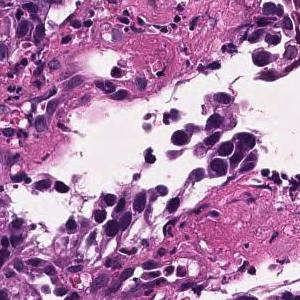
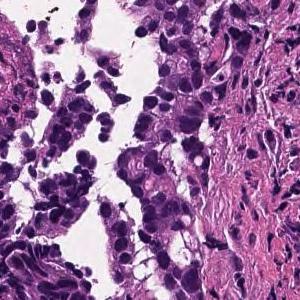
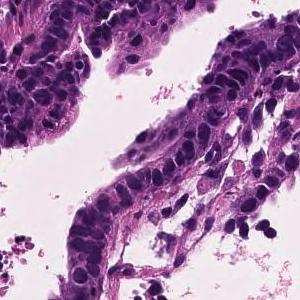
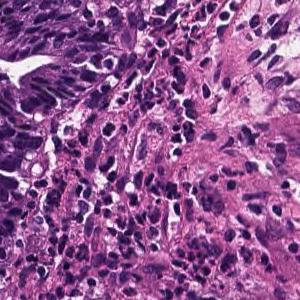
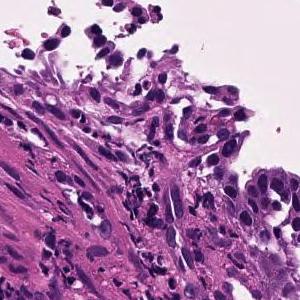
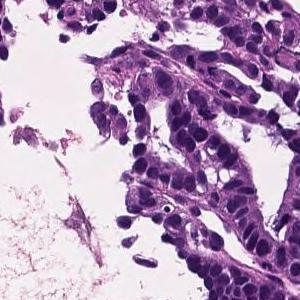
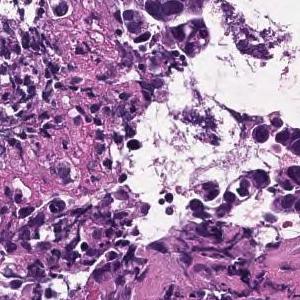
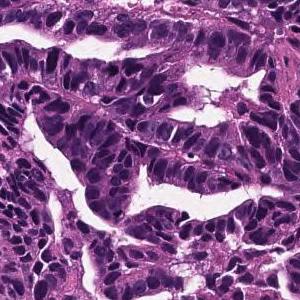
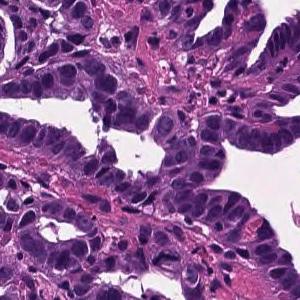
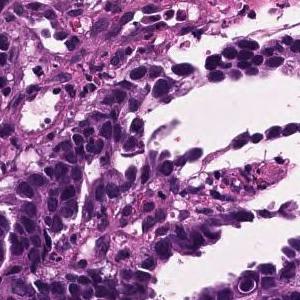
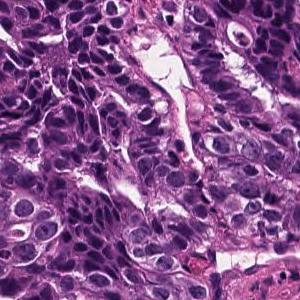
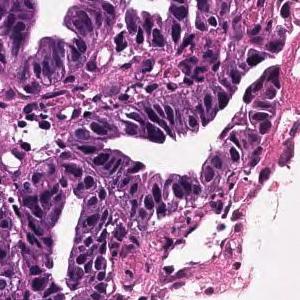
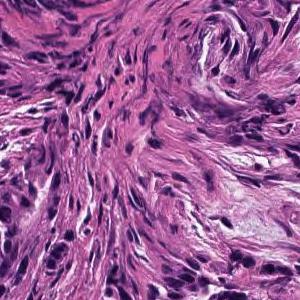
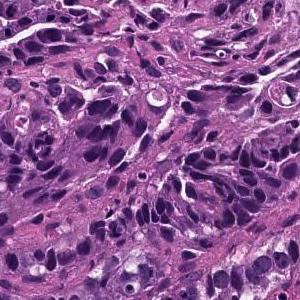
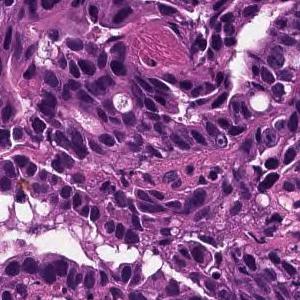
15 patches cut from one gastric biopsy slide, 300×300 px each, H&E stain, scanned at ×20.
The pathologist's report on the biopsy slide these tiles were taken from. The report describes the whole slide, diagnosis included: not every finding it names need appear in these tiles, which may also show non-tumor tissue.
Tumor cells are large, highly columnar, large club-shaped nuclei, and are associated with chromatin aggregation. Papillary adenocarcinoma.
